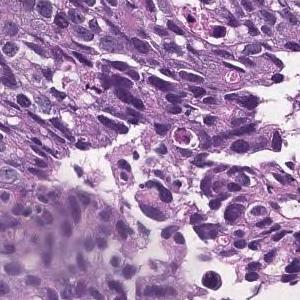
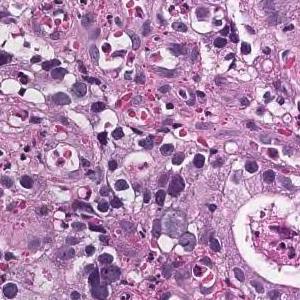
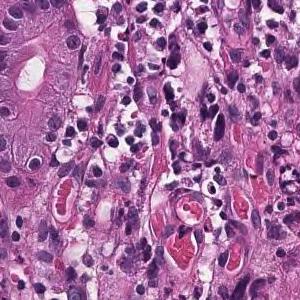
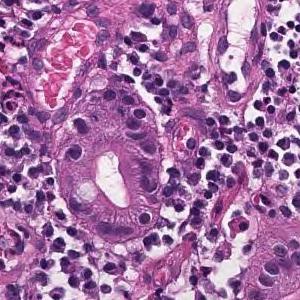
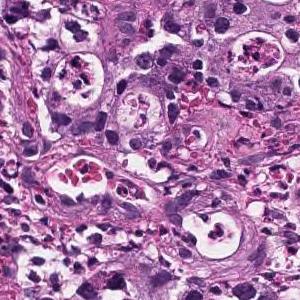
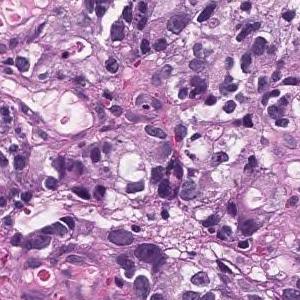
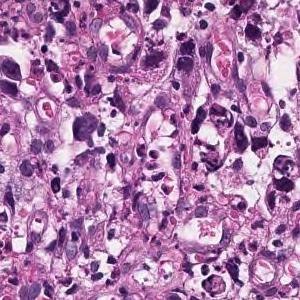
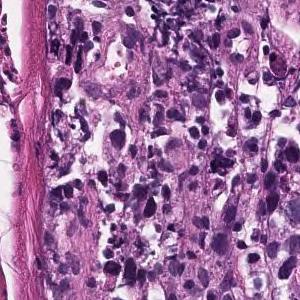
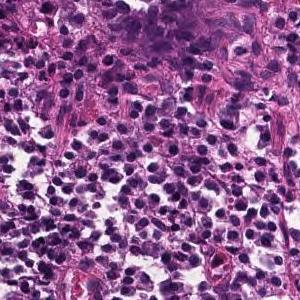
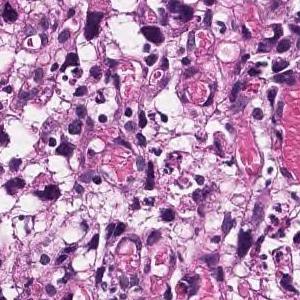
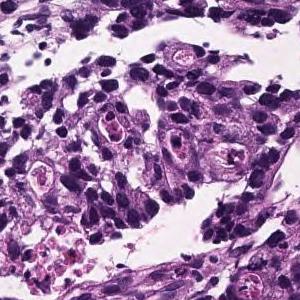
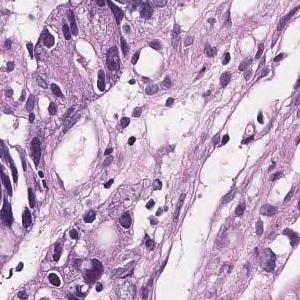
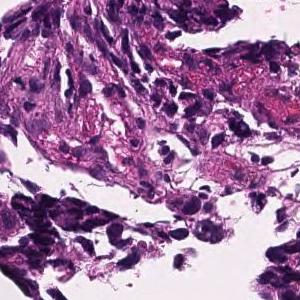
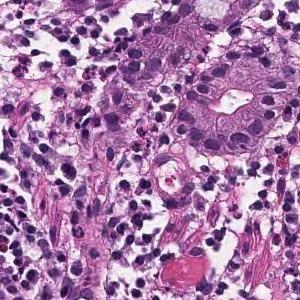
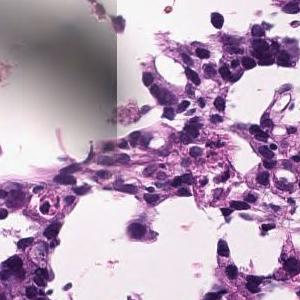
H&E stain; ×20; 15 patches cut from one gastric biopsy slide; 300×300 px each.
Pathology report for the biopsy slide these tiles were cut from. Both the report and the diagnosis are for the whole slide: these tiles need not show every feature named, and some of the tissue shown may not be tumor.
Tumor tissue consisting of medium-sized, cord-like or irregular glandular infiltration is observed in the superficial epithelium. Poorly differentiated adenocarcinoma, non-solid type or moderately differentiated tubular adenocarcinoma
"Non-solid type" is a category of the Japanese Classification of Gastric Carcinoma.
